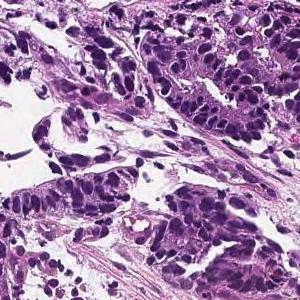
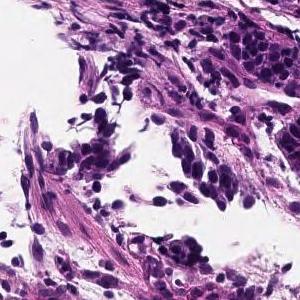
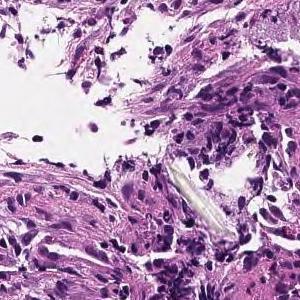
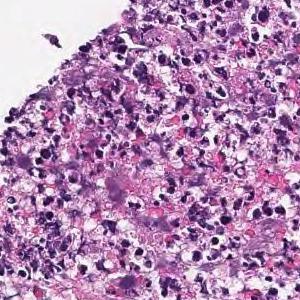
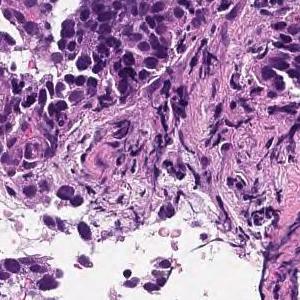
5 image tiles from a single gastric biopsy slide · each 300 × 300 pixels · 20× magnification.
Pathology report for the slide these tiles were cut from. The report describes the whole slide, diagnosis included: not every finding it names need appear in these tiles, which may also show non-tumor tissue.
In the superficial epithelium, tumor tissue that invades by forming medium-sized to small, irregular ducts is observed. moderately differentiated tubular adenocarcinoma.
